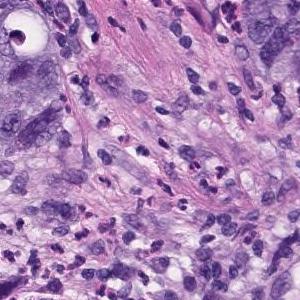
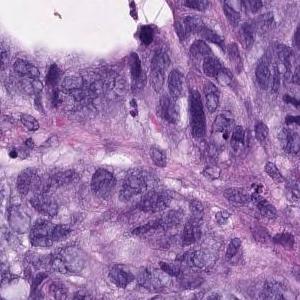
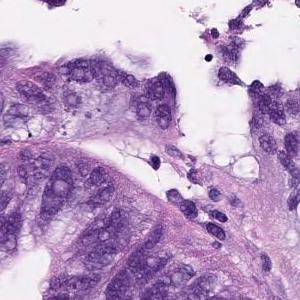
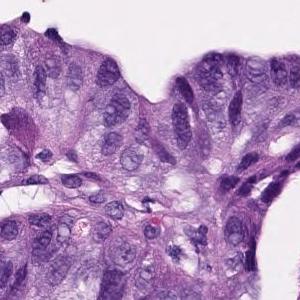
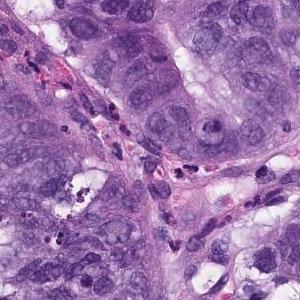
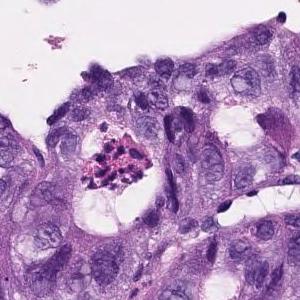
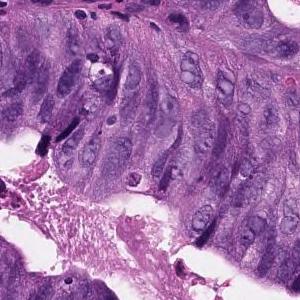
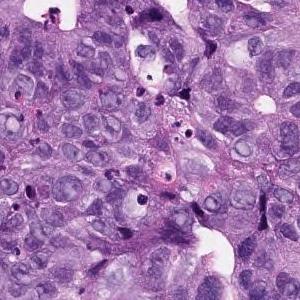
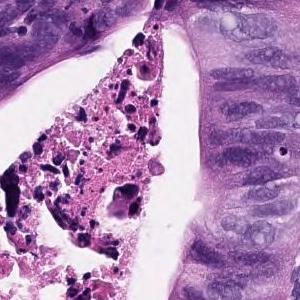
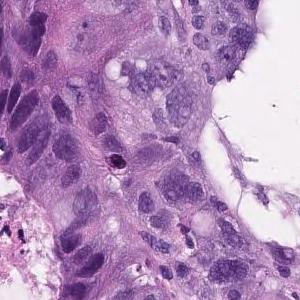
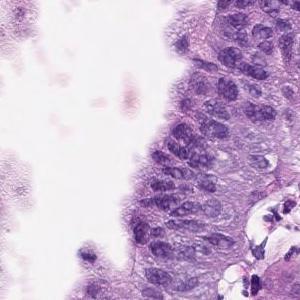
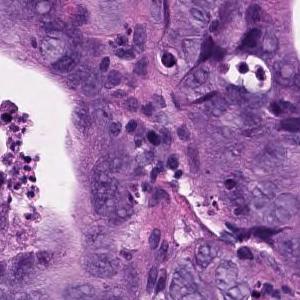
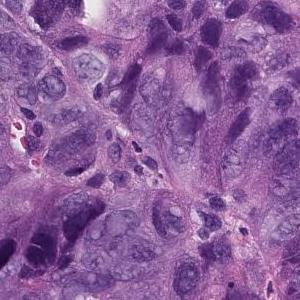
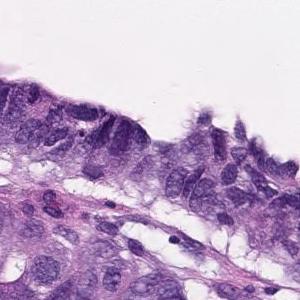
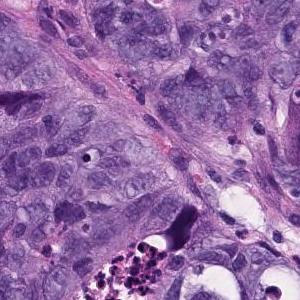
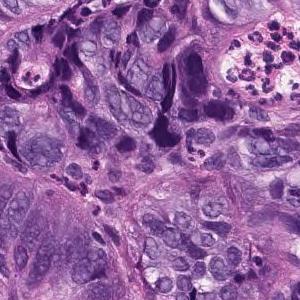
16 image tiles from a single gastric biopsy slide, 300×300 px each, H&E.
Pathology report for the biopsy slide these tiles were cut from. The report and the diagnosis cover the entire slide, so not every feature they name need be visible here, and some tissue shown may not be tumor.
In the superficial epithelium, tumor tissue that invades by forming medium-sized to small, irregular ducts is observed. Moderately differentiated adenocarcinoma.
Histologic type: Moderately differentiated tubular adenocarcinoma.
